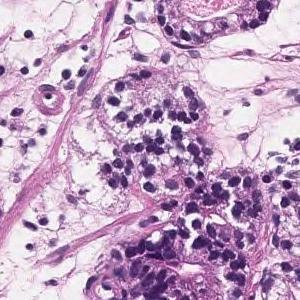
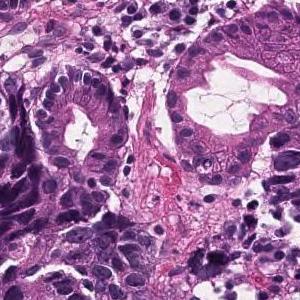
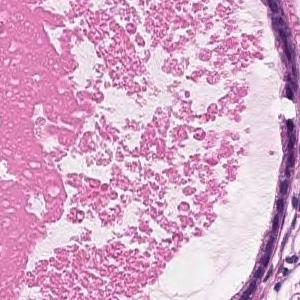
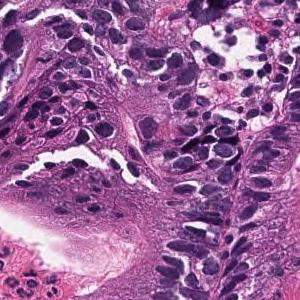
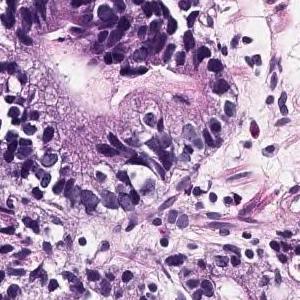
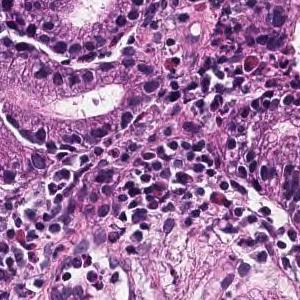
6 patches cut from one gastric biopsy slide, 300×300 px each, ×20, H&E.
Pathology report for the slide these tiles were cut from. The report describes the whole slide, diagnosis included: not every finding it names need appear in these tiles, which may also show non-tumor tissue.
Tumor tissue consisting of medium-sized and irregular ducts is observed infiltrating in the superficial epithelium. Tumor cells are highly columnar, with nuclei aligned basolaterally and polarized. Well differentiated tubular adenocarcinoma.
